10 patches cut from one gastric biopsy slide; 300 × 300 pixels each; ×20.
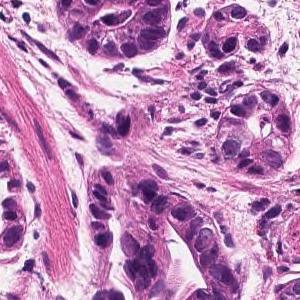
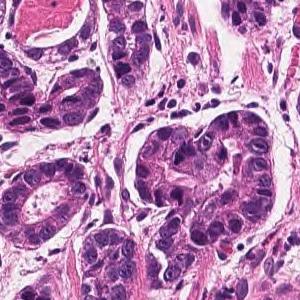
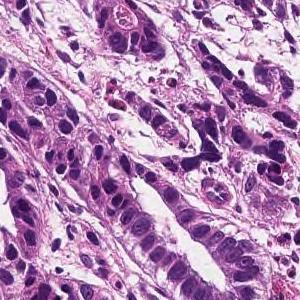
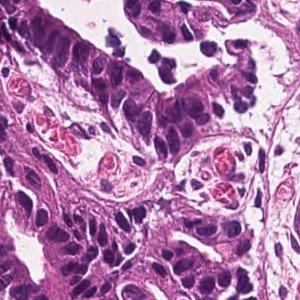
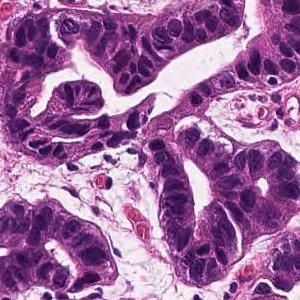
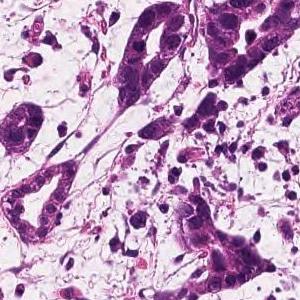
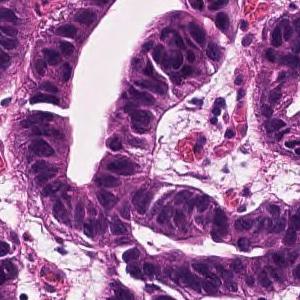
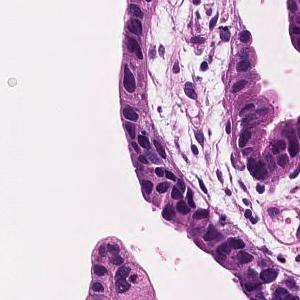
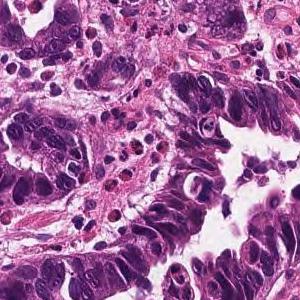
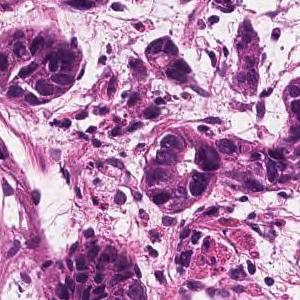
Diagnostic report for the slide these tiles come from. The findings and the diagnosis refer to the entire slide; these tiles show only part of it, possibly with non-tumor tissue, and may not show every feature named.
In the superficial epithelium, tumor tissue that invades by forming medium-sized to small, irregular ducts is observed. Well differentiated tubular adenocarcinoma.
